Hematoxylin and eosin stain, 20× magnification, 8 tiles from the same stomach biopsy slide, each 300 × 300 pixels.
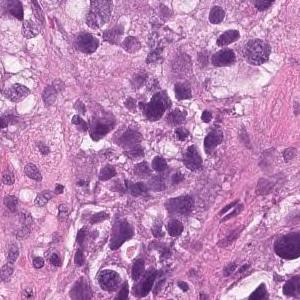
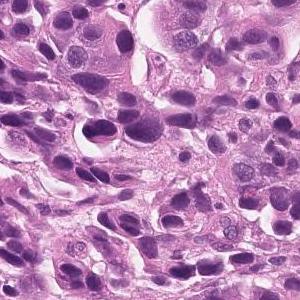
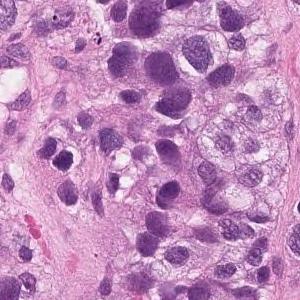
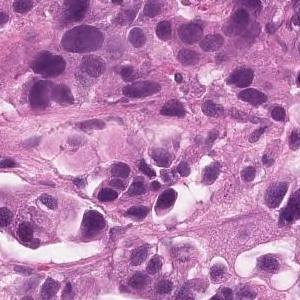
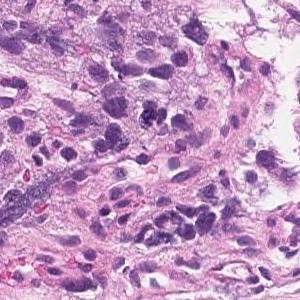
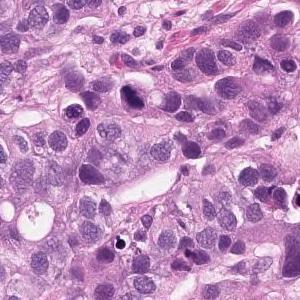
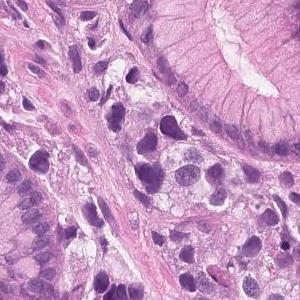
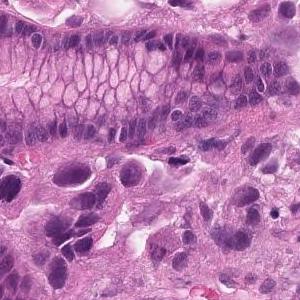
Pathology report for the slide these tiles were cut from. The report describes the whole slide, diagnosis included: not every finding it names need appear in these tiles, which may also show non-tumor tissue.
Tumor tissue that infiltrates the epithelium in an alveolar manner. Poorly differentiated adenocarcinoma, solid-type
Histological subtype: Poorly differentiated adenocarcinoma, solid type, a category of the Japanese Classification of Gastric Carcinoma; in the WHO 2019 classification it is tubular adenocarcinoma, poorly differentiated.
